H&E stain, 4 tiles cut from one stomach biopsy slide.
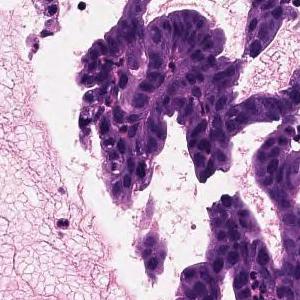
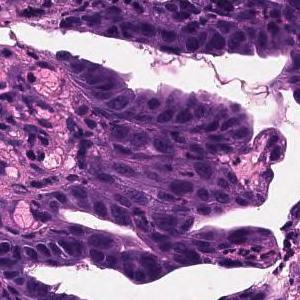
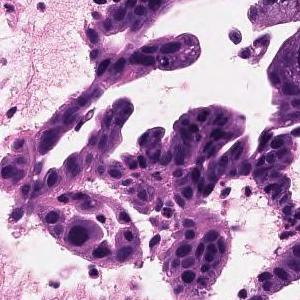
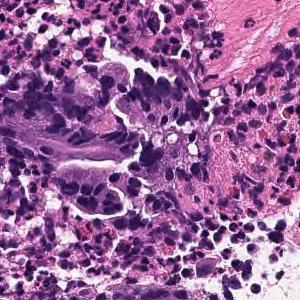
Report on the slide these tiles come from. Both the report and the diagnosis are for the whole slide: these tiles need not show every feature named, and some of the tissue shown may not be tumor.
Tumor cells are large, highly columnar, large club-shaped nuclei, and are associated with chromatin aggregation. Papillary adenocarcinoma.
